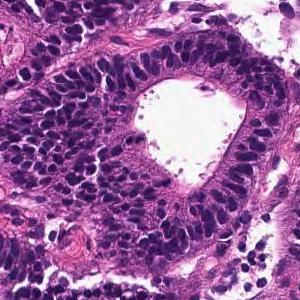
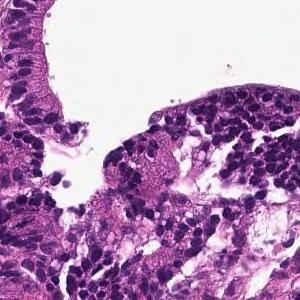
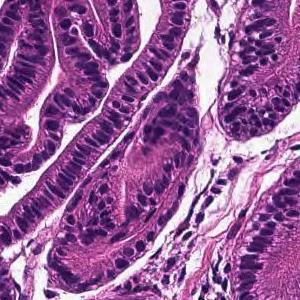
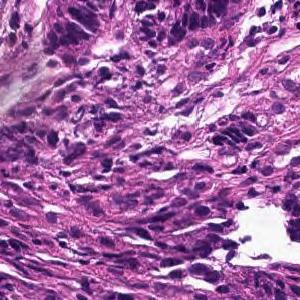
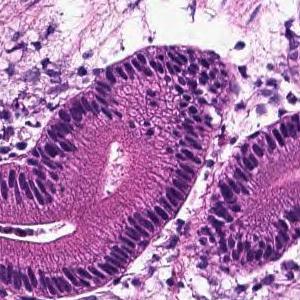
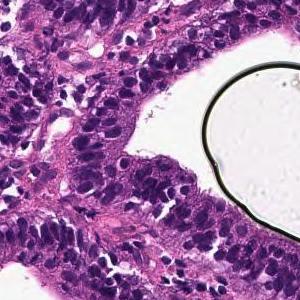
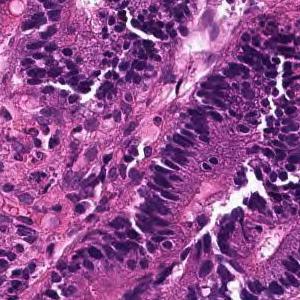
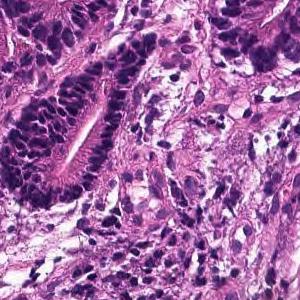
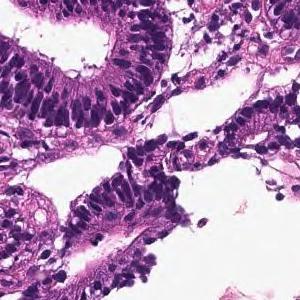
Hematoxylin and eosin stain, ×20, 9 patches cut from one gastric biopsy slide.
Report on the slide these tiles come from. The report and the diagnosis cover the entire slide, so not every feature they name need be visible here, and some tissue shown may not be tumor.
On the superficial epithelium, tumor tissue that infiltrates by forming medium-sized round or small irregular ducts is observed. Papillary adenocarcinoma
